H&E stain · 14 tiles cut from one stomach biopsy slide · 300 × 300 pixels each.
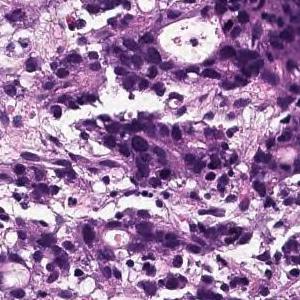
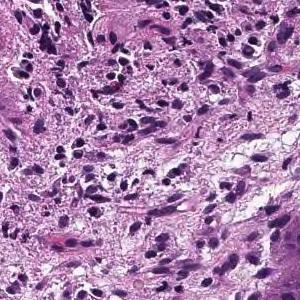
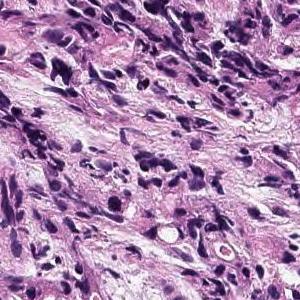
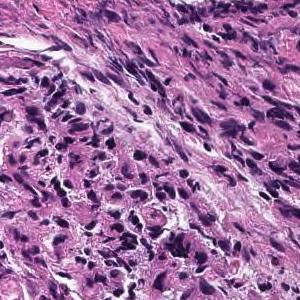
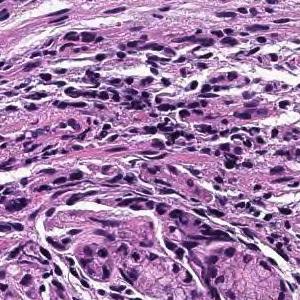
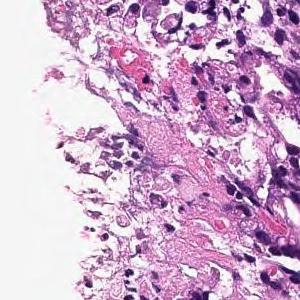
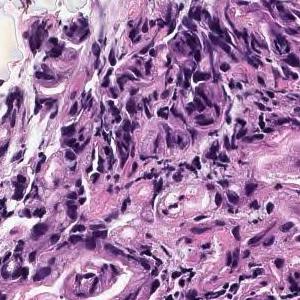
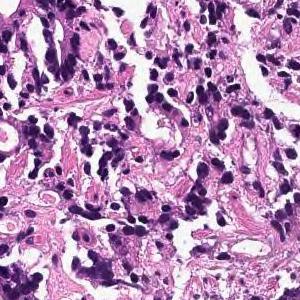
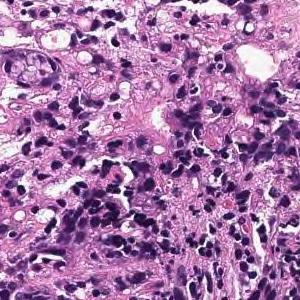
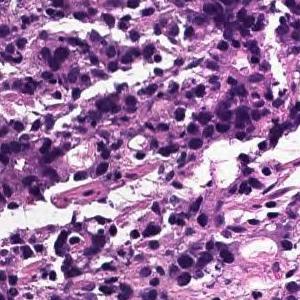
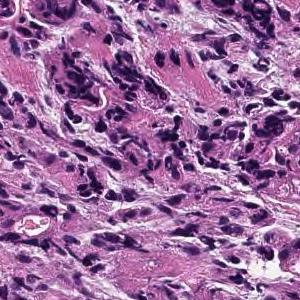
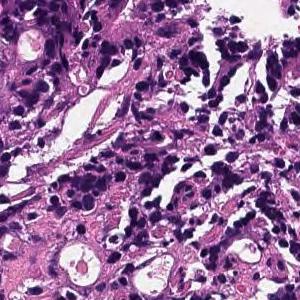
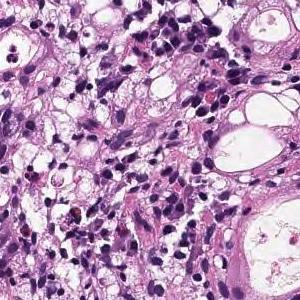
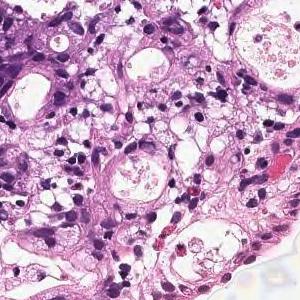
Pathology report for the biopsy slide these tiles were cut from. Both the report and the diagnosis are for the whole slide: these tiles need not show every feature named, and some of the tissue shown may not be tumor.
Tumor tissue consisting of cord-like or small, irregular glandular ducts fused and infiltrated is observed in the superficial epithelium. Poorly differentiated adenocarcinoma, non-solid type
The term "non-solid type" comes from the Japanese Classification of Gastric Carcinoma.
